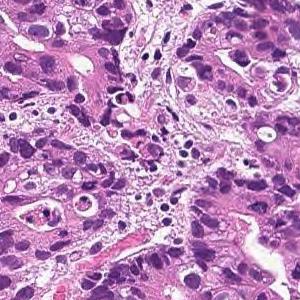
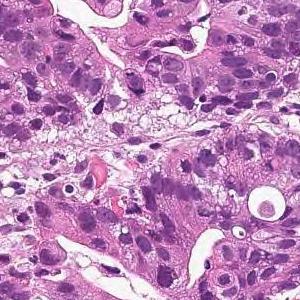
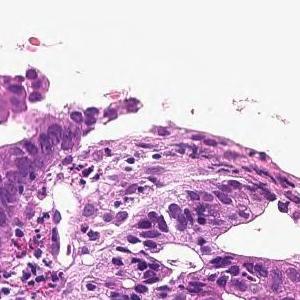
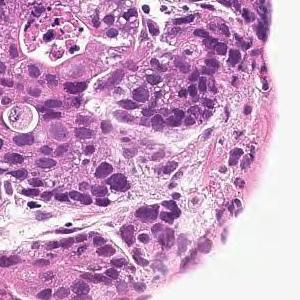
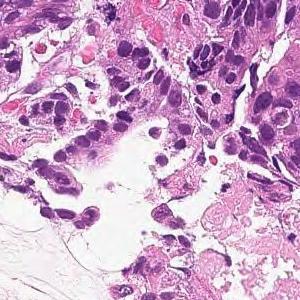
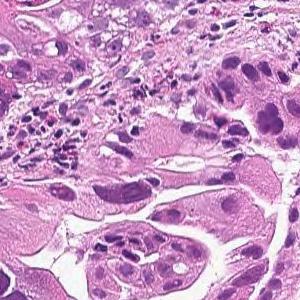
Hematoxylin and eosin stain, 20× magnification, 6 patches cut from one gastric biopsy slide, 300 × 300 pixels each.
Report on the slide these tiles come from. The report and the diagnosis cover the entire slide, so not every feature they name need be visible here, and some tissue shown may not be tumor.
On the superficial epithelium, tumor tissue that infiltrates by forming medium-sized papillary or small irregular ducts is observed. Papillary adenocarcinoma
